20× magnification, H&E, 14 tiles from the same stomach biopsy slide.
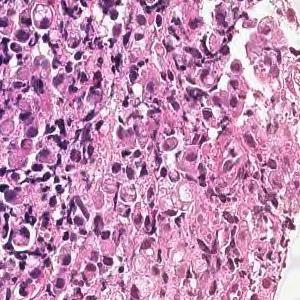
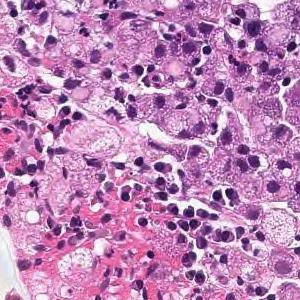
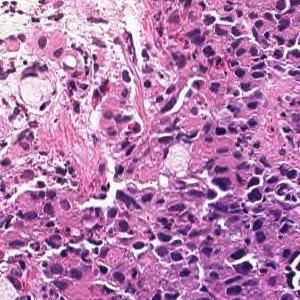
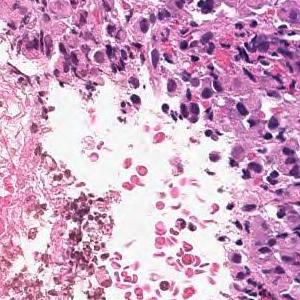
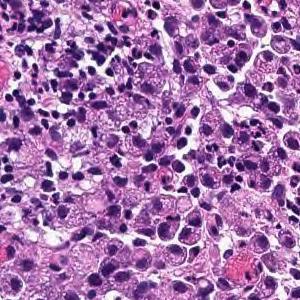
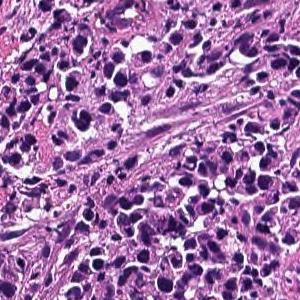
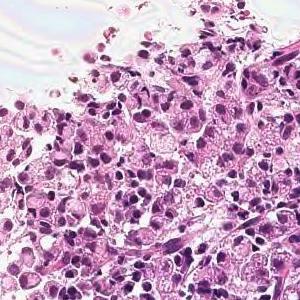
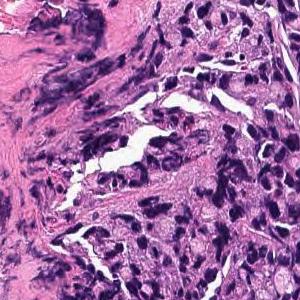
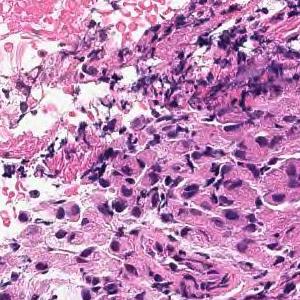
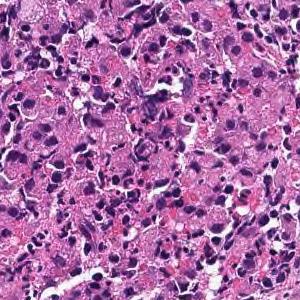
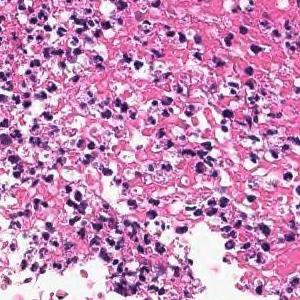
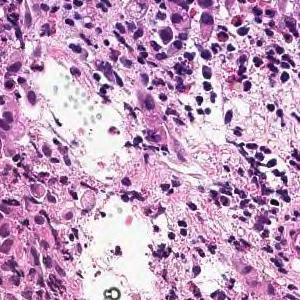
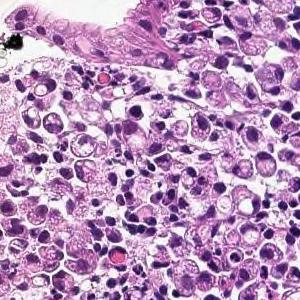
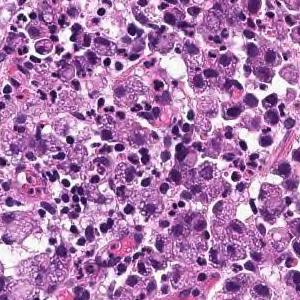
Report on the slide these tiles come from. The findings and the diagnosis refer to the entire slide; these tiles show only part of it, possibly with non-tumor tissue, and may not show every feature named.
Tumor tissue consisting of diffusely infiltrated large atypical epithelial cells or signet ring atypical cells is observed in the superficial epithelium. Poorly differentiated adenocarcinoma, solid-type
Classified as poorly differentiated adenocarcinoma, solid type (Japanese Classification of Gastric Carcinoma). The WHO 2019 equivalent is tubular adenocarcinoma, poorly differentiated.
